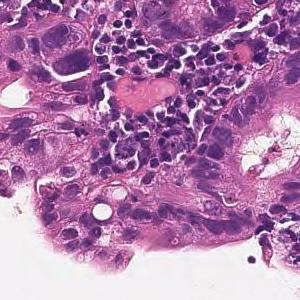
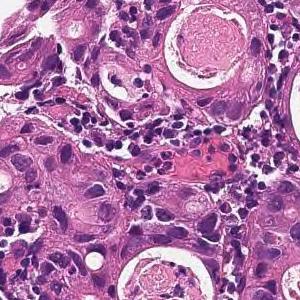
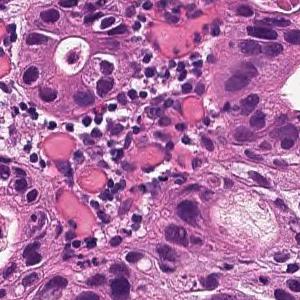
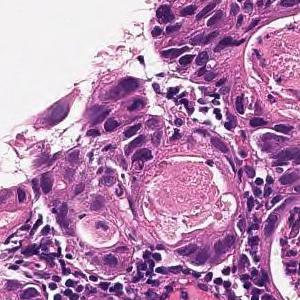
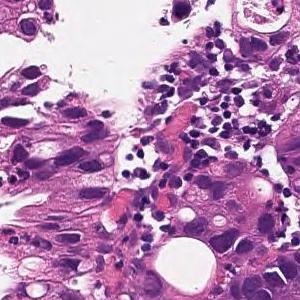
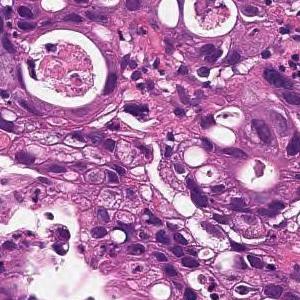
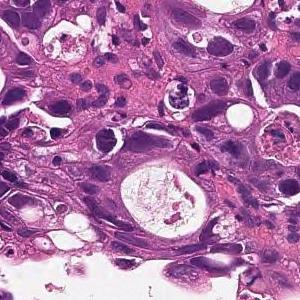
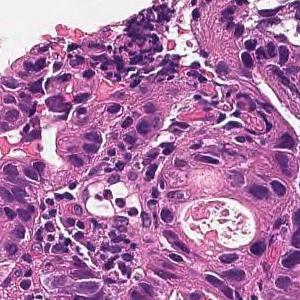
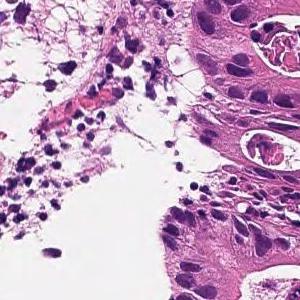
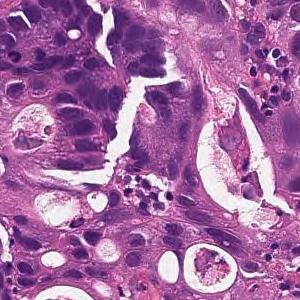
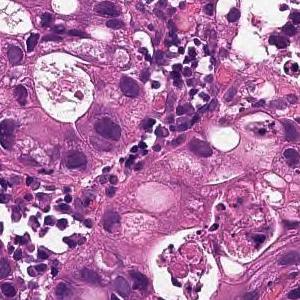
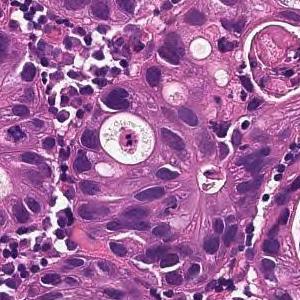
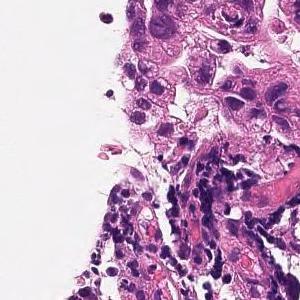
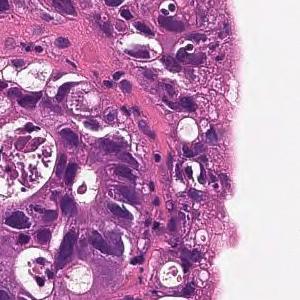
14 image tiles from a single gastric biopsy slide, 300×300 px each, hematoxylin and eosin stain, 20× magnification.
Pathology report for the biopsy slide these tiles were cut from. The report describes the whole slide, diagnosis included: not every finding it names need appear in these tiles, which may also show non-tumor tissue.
From the superficial epithelium to the muscularis mucosae, tumor tissue consisting of medium-sized and irregular glandular ducts infiltrating is observed. Well differentiated tubular adenocarcinoma
